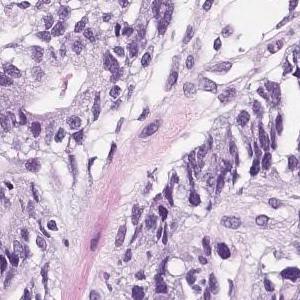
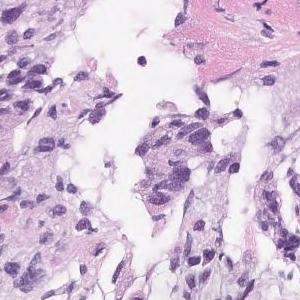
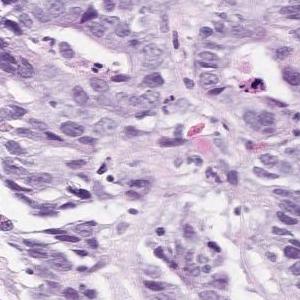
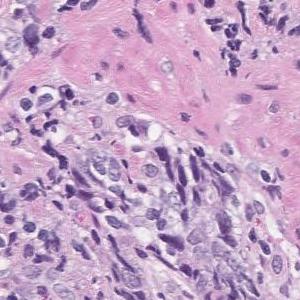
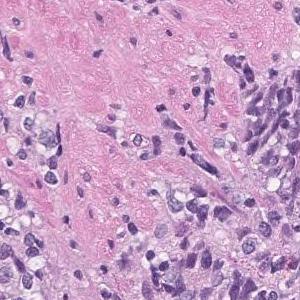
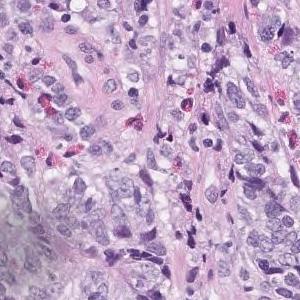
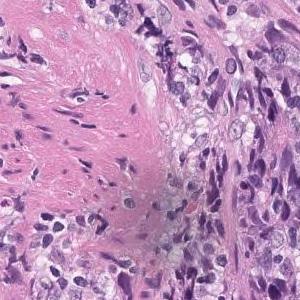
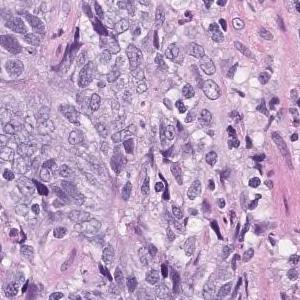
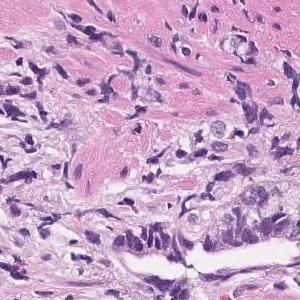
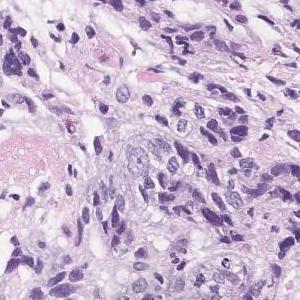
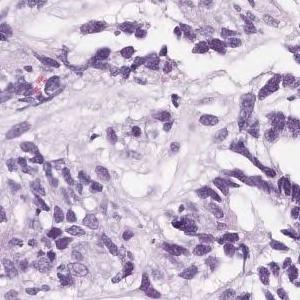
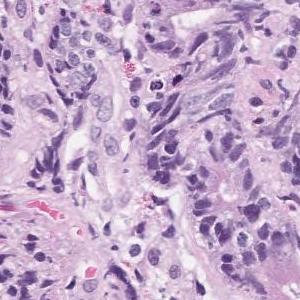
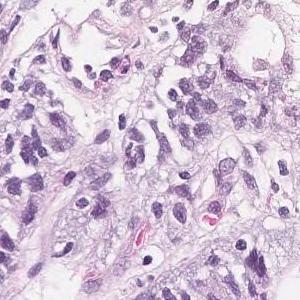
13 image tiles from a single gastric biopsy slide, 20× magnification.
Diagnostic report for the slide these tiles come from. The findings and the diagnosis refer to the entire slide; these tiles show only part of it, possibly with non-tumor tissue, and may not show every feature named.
Highly columnar epithelium with disordered nuclear localization proliferates showing fusion ductal construction. moderately differentiated tubular adenocarcinoma
